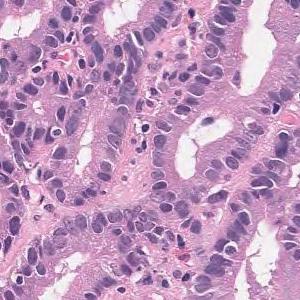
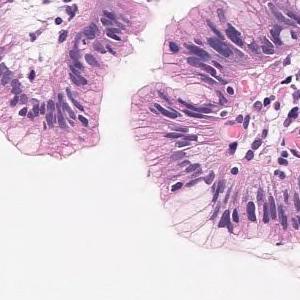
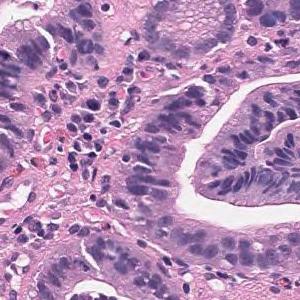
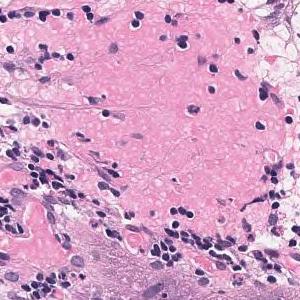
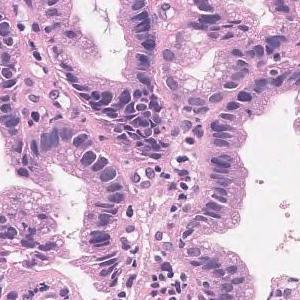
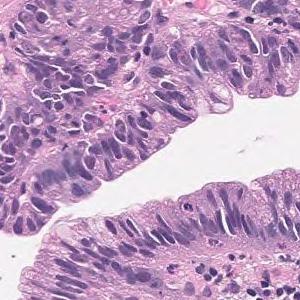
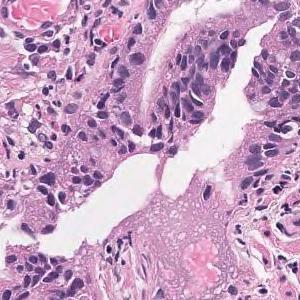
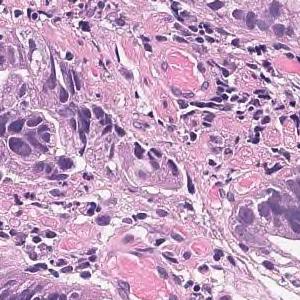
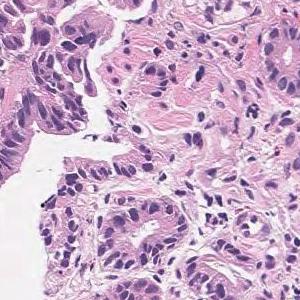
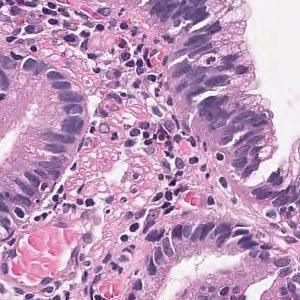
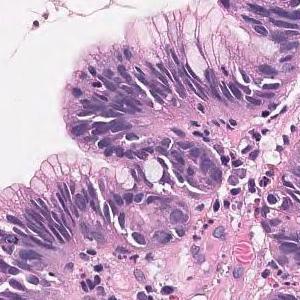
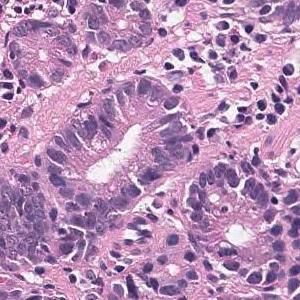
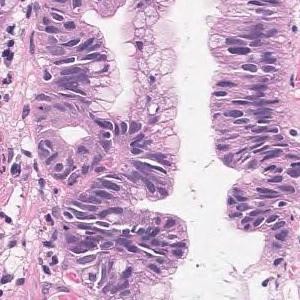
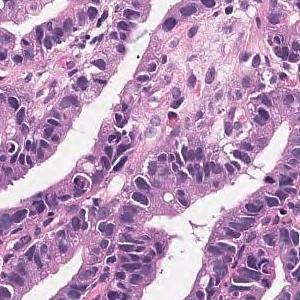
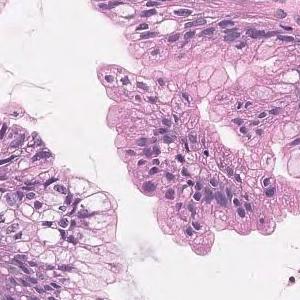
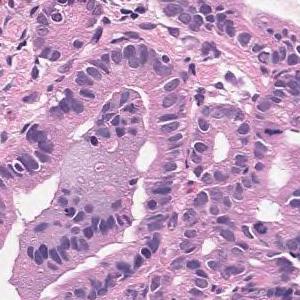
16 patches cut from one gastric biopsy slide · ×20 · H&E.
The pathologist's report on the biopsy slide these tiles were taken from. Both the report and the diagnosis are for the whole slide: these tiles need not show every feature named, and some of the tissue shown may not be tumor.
Tumor tissue that grows tubular from the surface to the glandular fossa is seen. Adenocarcinoma.
Tumor subtype: well differentiated tubular adenocarcinoma.
